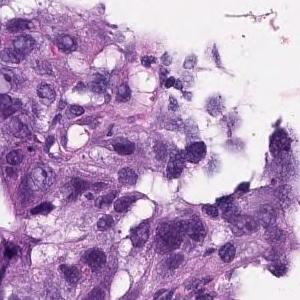
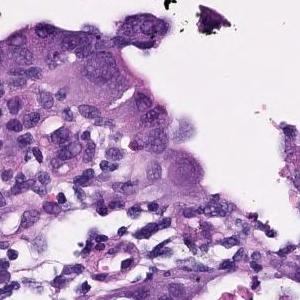
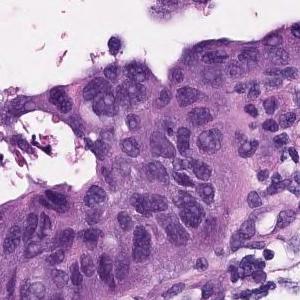
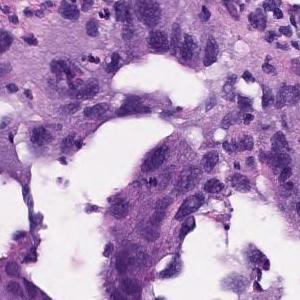
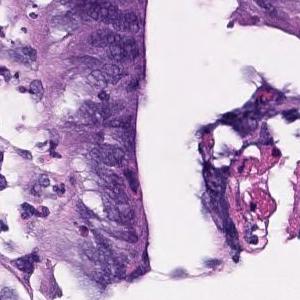
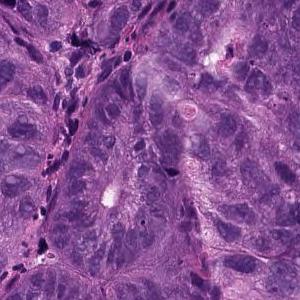
H&E stain, ×20, 6 tiles cut from one stomach biopsy slide, 300 × 300 pixels each.
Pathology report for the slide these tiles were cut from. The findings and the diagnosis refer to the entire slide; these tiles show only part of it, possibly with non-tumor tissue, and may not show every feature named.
In the superficial epithelium, tumor tissue that invades by forming medium-sized to small, irregular ducts is observed. Moderately differentiated adenocarcinoma.
Histological subtype: Moderately differentiated tubular adenocarcinoma.
